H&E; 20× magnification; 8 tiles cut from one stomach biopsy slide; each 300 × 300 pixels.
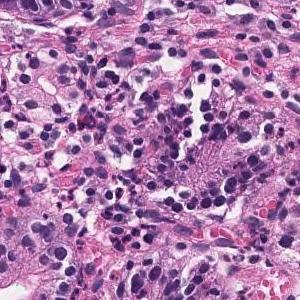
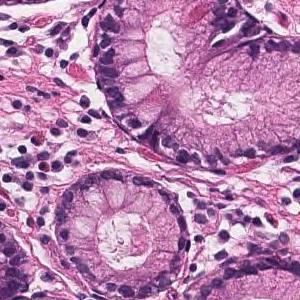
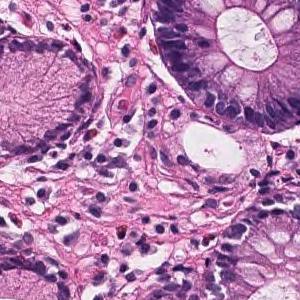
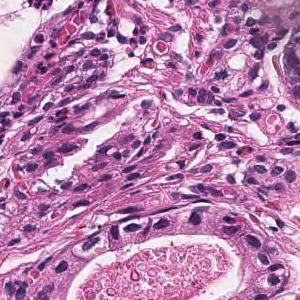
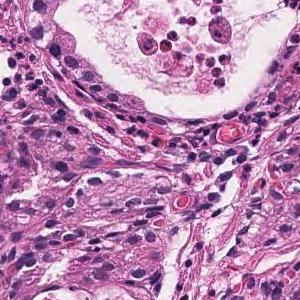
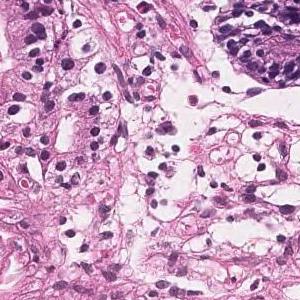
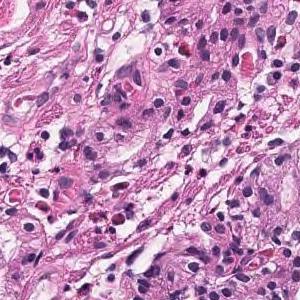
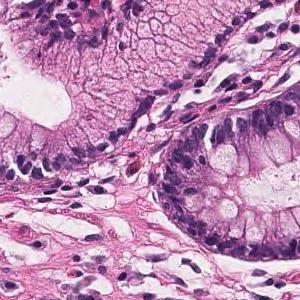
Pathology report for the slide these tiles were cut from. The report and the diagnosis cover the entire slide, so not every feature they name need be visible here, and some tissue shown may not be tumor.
On the superficial epithelium, tumor tissue consisting of large, irregular glandular ducts partially fused and infiltrated is observed. Well differentiated tubular adenocarcinoma
